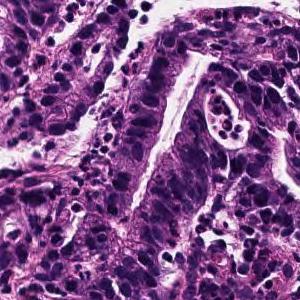
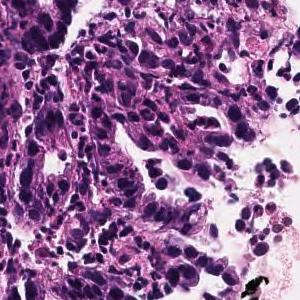
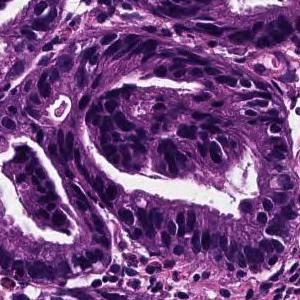
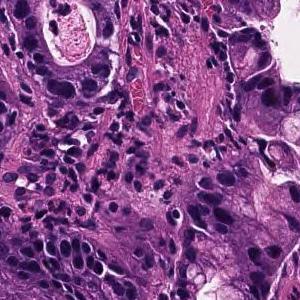
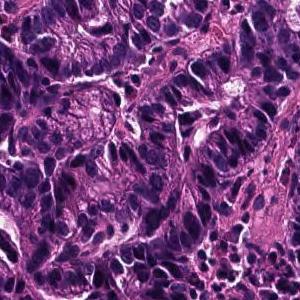
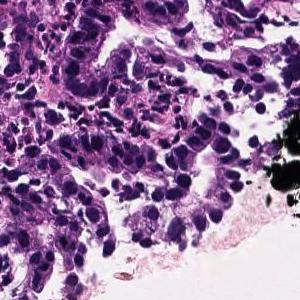
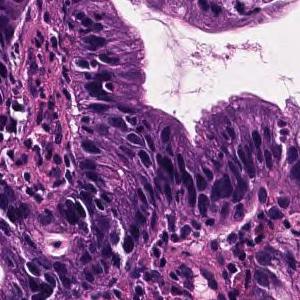
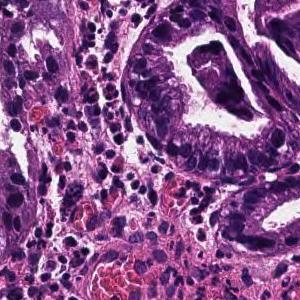
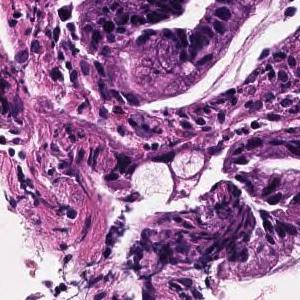
Hematoxylin and eosin stain · 9 tiles from the same stomach biopsy slide · each 300 × 300 pixels.
Pathology report for the biopsy slide these tiles were cut from. The report and the diagnosis describe the slide as a whole, so these tiles may not show every feature named and may include non-tumor tissue.
From the superficial epithelium to the muscularis mucosae, tumor tissue consisting of medium-sized and irregular glandular ducts infiltrating is observed. Well differentiated tubular adenocarcinoma
